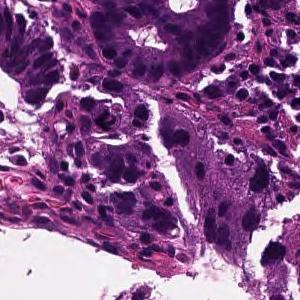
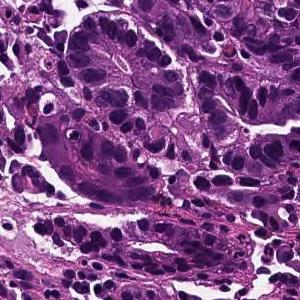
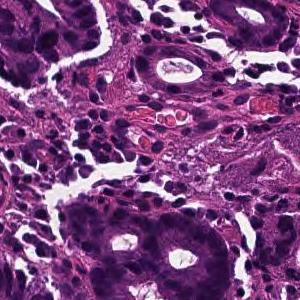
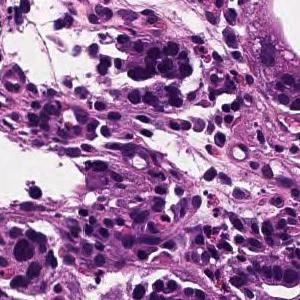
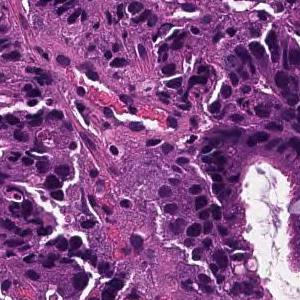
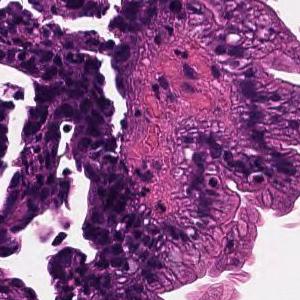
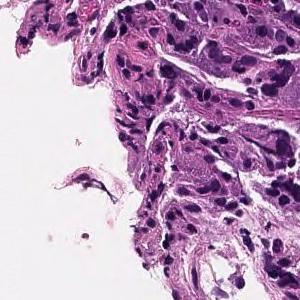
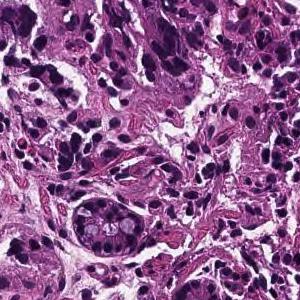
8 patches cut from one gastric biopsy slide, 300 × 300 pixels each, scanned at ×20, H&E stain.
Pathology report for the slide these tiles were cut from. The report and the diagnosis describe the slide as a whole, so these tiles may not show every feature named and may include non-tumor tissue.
In the superficial epithelium, tumor tissue that invades by forming medium-sized to small, irregular ducts is observed. moderately differentiated tubular adenocarcinoma.
